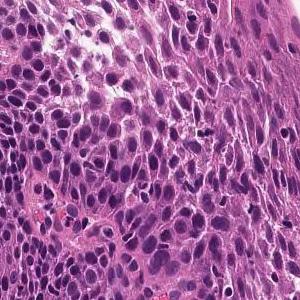
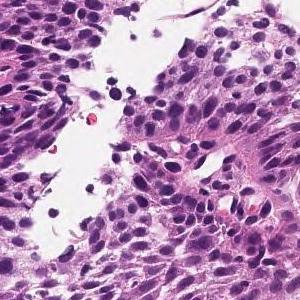
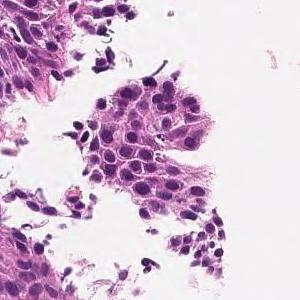
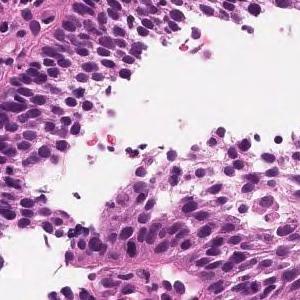
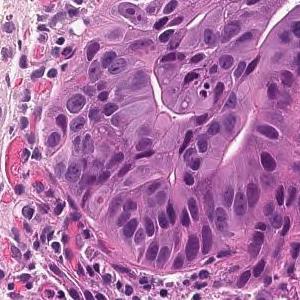
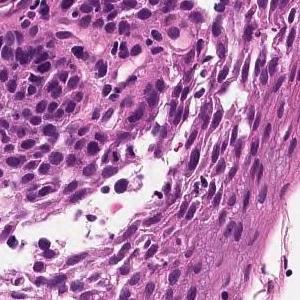
6 tiles cut from one stomach biopsy slide · 300×300 px each · ×20 · hematoxylin and eosin stain.
The pathologist's report on the biopsy slide these tiles were taken from. The report and the diagnosis cover the entire slide, so not every feature they name need be visible here, and some tissue shown may not be tumor.
On the superficial epithelium, tumor tissue is found in which medium-sized irregular gland ducts fuse with each other and infiltrate. moderately differentiated tubular adenocarcinoma
